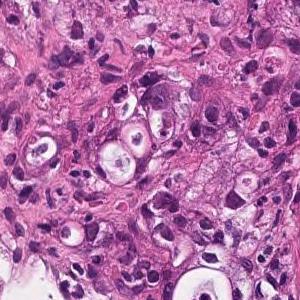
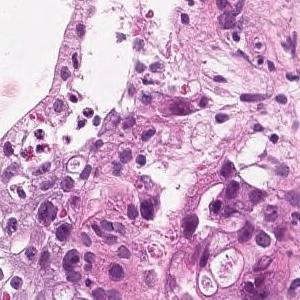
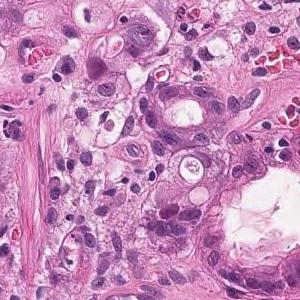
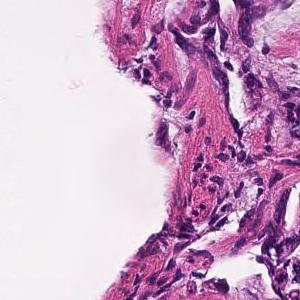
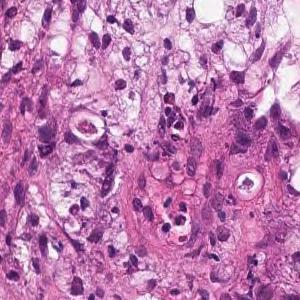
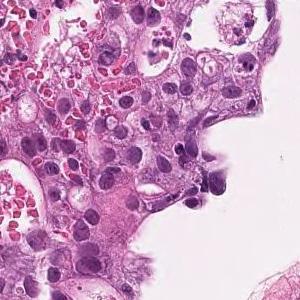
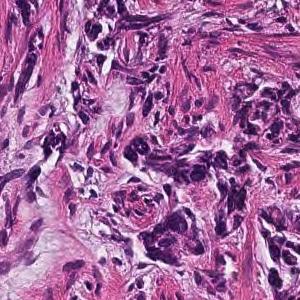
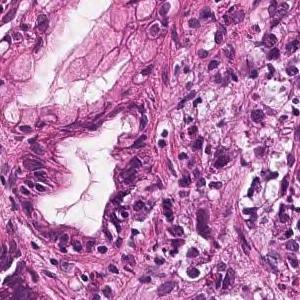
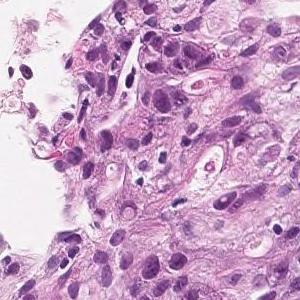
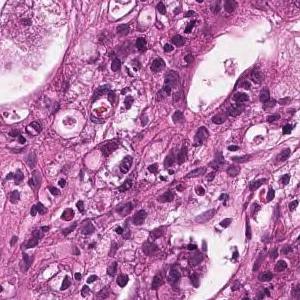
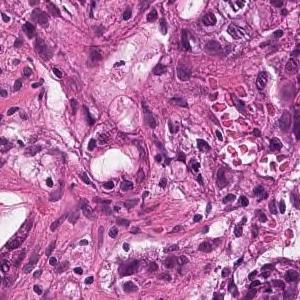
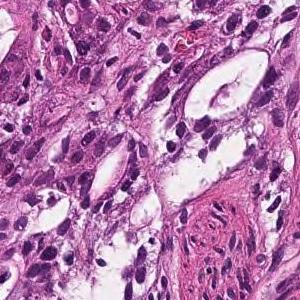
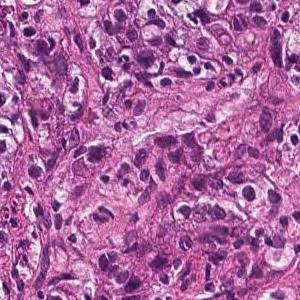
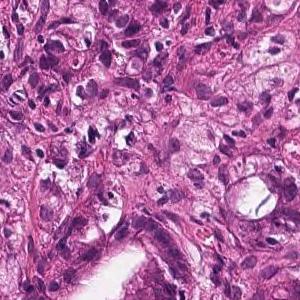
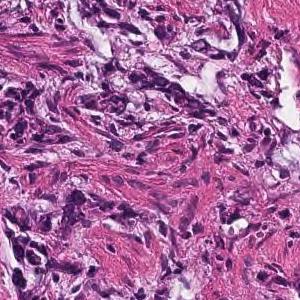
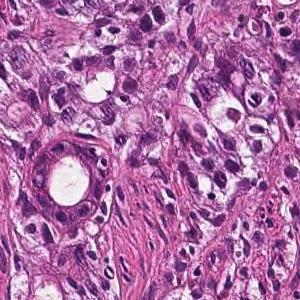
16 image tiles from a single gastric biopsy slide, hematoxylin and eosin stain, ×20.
Report on the slide these tiles come from. What the report and the diagnosis say applies to the whole slide; these tiles may miss some of the features named and may include tissue that is not tumor.
In the gastric mucosal tissue, tumor tissue that forms irregular glandular cavities of medium to small size or shows small cords and infiltrates is observed. moderately differentiated tubular adenocarcinoma
